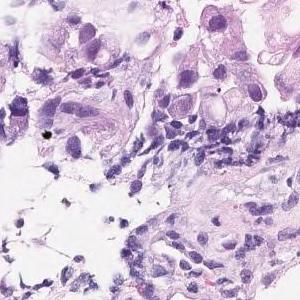
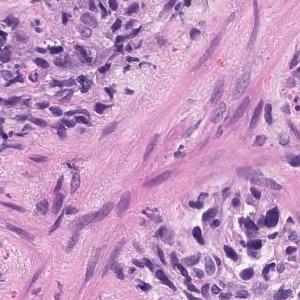
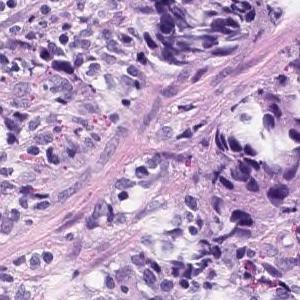
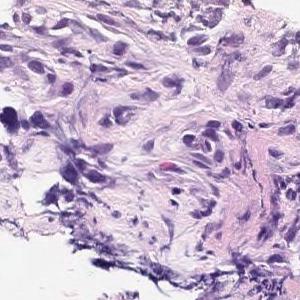
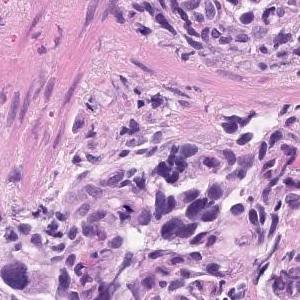
5 tiles cut from one stomach biopsy slide, 300×300 px each, scanned at ×20, H&E.
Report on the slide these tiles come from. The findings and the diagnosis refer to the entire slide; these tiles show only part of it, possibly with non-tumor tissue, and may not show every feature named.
Group 5, Moderately differentiated adenocarcinoma
Histologic type: Moderately differentiated tubular adenocarcinoma.
